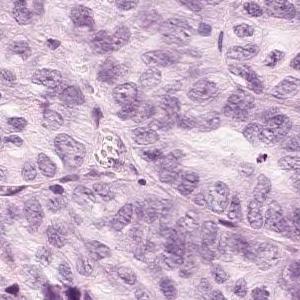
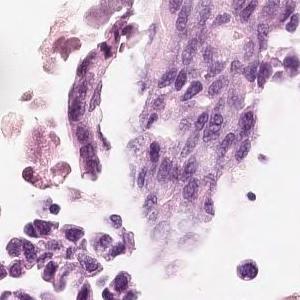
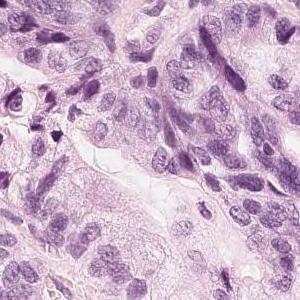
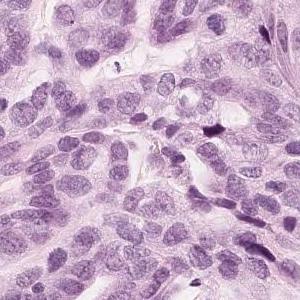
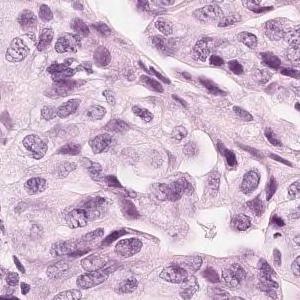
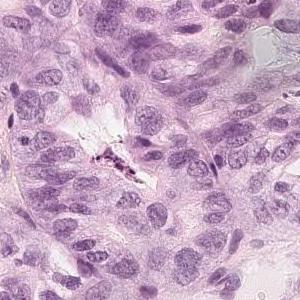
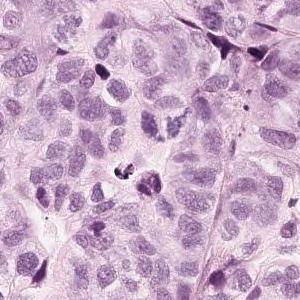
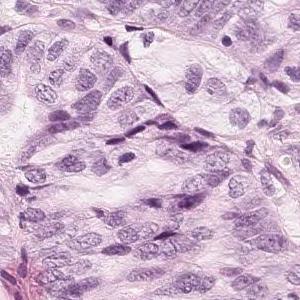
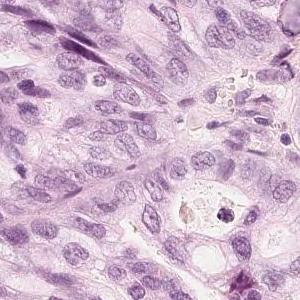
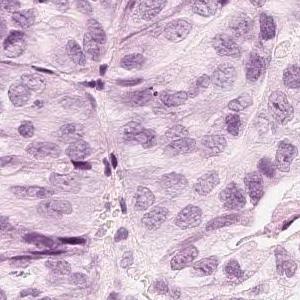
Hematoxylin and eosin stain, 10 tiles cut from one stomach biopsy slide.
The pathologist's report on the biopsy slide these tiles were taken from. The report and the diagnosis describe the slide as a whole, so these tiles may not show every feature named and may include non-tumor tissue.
Tumor tissue in which medium-sized atypical epithelial cells with a large N/C ratio grow densely while becoming alveolar to cord-like with duct formation is observed. moderately differentiated tubular adenocarcinoma
